H&E stain · 11 tiles from the same stomach biopsy slide.
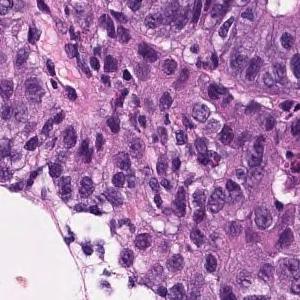
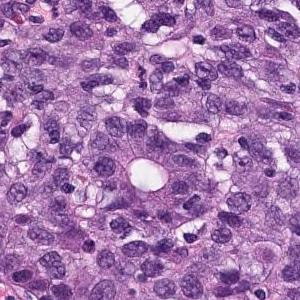
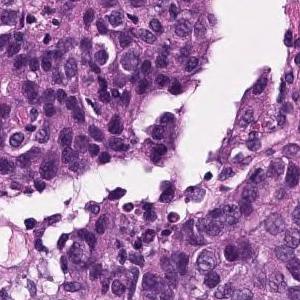
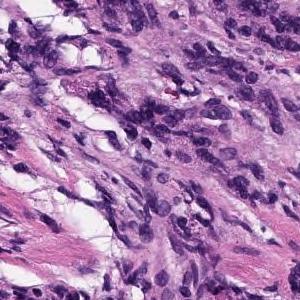
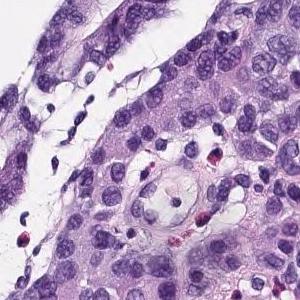
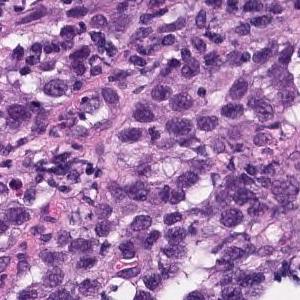
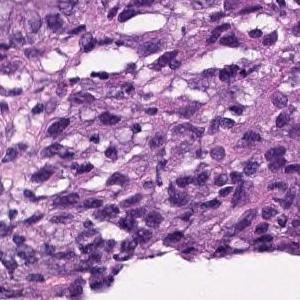
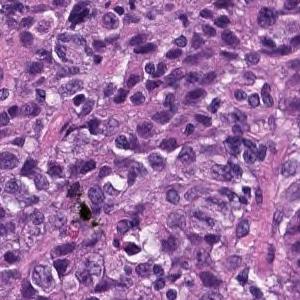
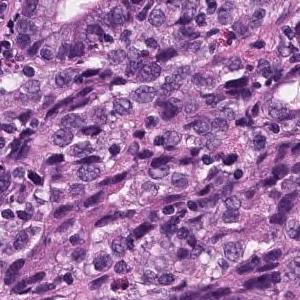
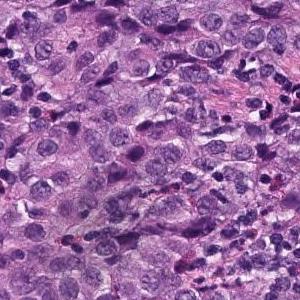
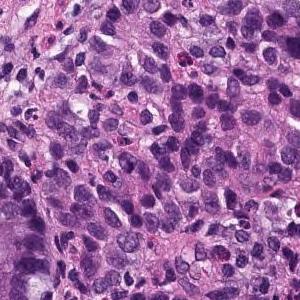
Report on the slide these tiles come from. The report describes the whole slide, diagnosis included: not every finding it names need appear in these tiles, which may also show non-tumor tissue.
In the superficial epithelium, tumor tissue that invades by forming medium-sized to small, irregular ducts is observed. Moderately differentiated adenocarcinoma.
Tumor subtype: moderately differentiated tubular adenocarcinoma.
